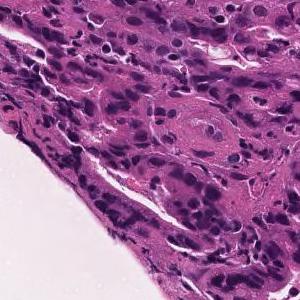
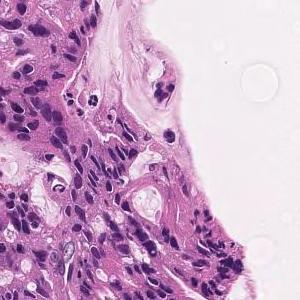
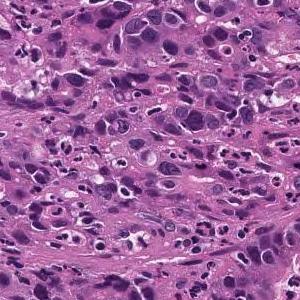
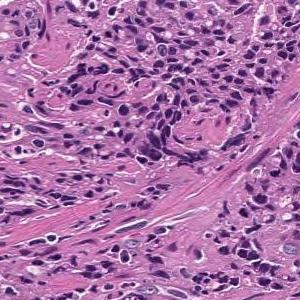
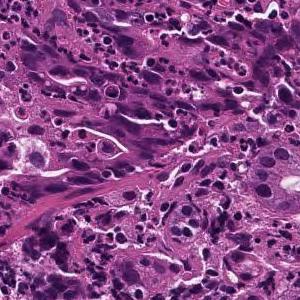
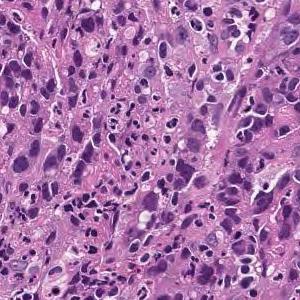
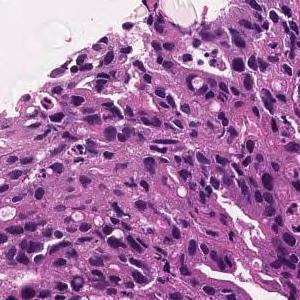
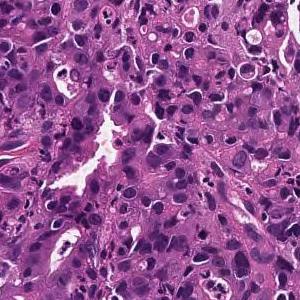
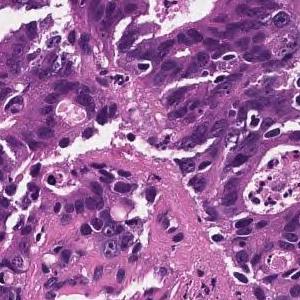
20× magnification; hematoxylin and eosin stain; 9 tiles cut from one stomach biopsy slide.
The pathologist's report on the biopsy slide these tiles were taken from. The report and the diagnosis cover the entire slide, so not every feature they name need be visible here, and some tissue shown may not be tumor.
In the superficial epithelium, tumor tissue that invades by forming medium-sized to small, irregular ducts is observed. moderately differentiated tubular adenocarcinoma.
